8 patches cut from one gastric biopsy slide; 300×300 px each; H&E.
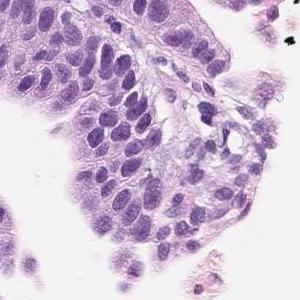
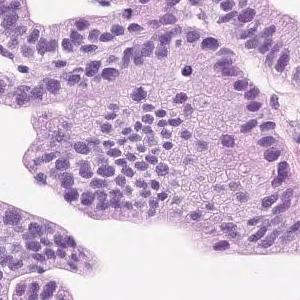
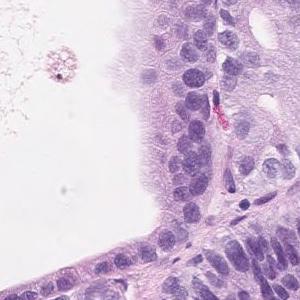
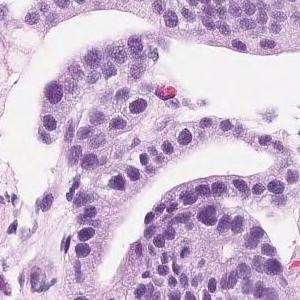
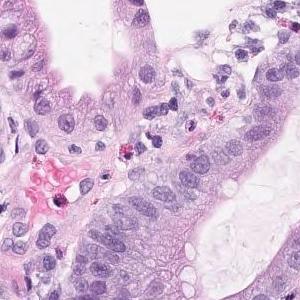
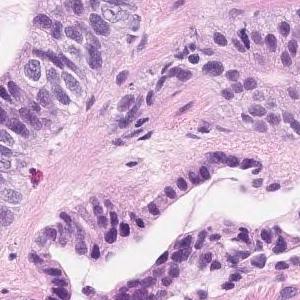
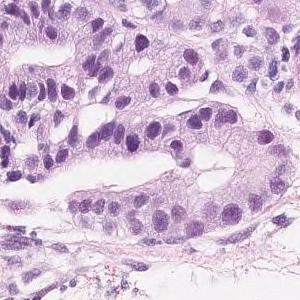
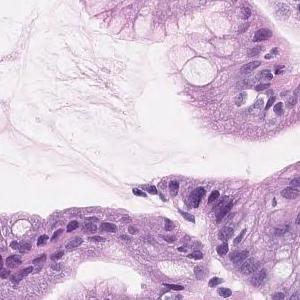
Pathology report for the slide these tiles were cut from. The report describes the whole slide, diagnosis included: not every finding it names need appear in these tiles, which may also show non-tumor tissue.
Short atypical epithelium with swelling of the nucleus shows proliferating, large and small irregular ductal structures. Well to moderately differentiated tubular adenocarcinoma (well differentiated tubular adenocarcinoma-moderately differentiated tubular adenocarcinoma)
Classified as well to moderately differentiated tubular adenocarcinoma.
